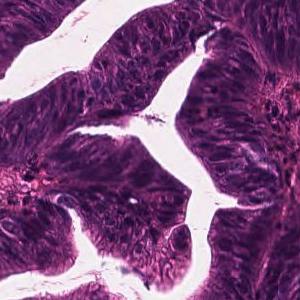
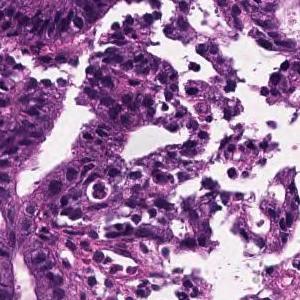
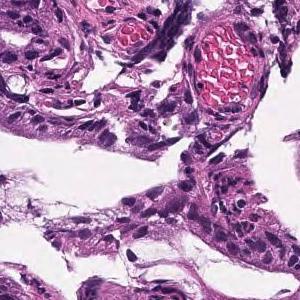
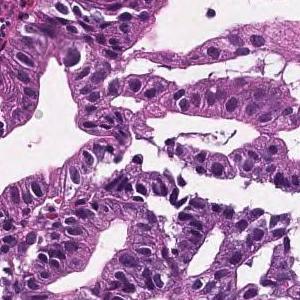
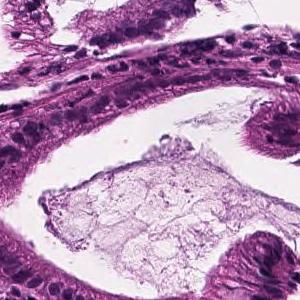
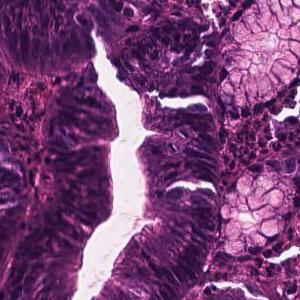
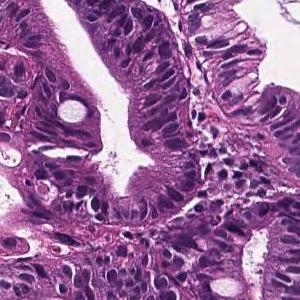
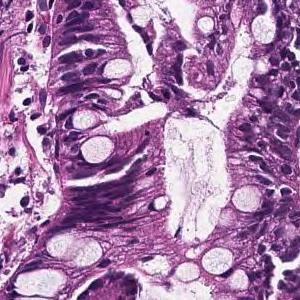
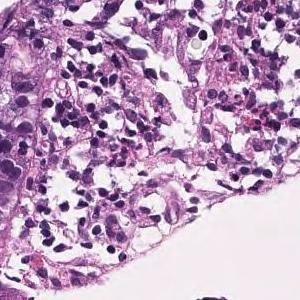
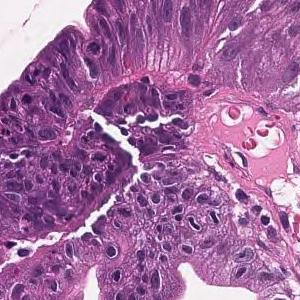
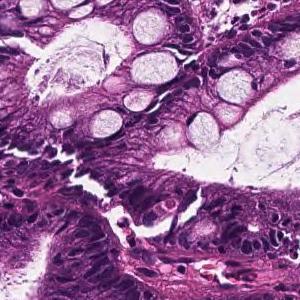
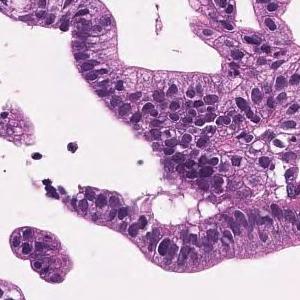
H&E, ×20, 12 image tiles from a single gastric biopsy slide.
Report on the slide these tiles come from. The report describes the whole slide, diagnosis included: not every finding it names need appear in these tiles, which may also show non-tumor tissue.
In the superficial epithelium, tumor tissue that invades by forming medium-sized to small, irregular ducts is observed. Well differentiated tubular adenocarcinoma.
